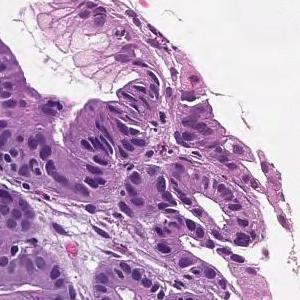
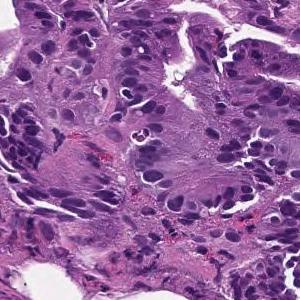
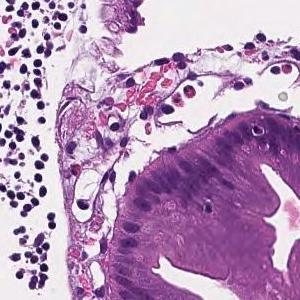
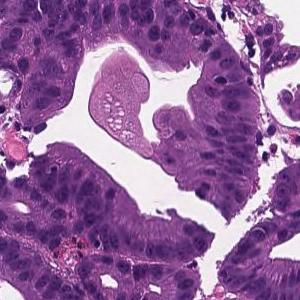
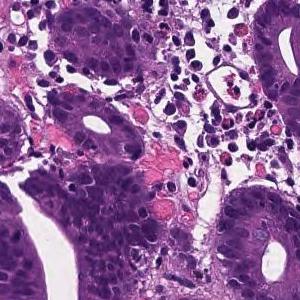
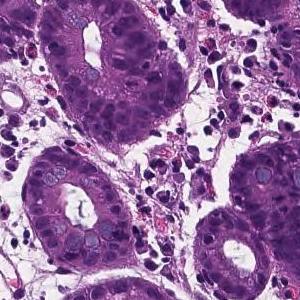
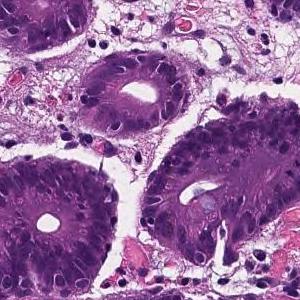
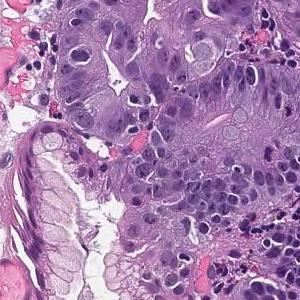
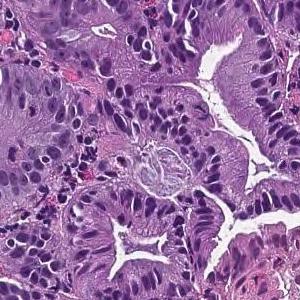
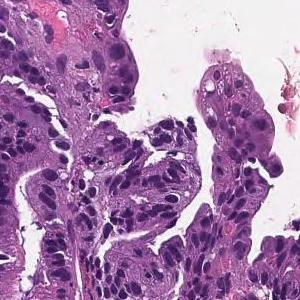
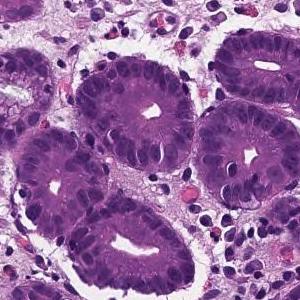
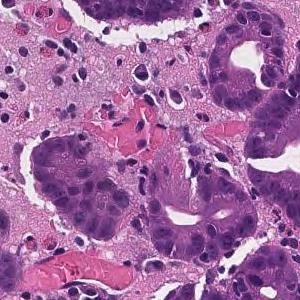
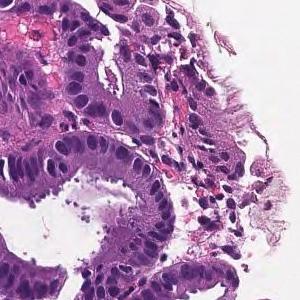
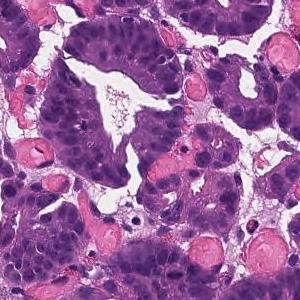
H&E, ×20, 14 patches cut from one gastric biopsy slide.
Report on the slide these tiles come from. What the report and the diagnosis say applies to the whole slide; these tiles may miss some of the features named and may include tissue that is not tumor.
From the superficial epithelium to the muscularis mucosae, tumor tissue consisting of medium-sized and irregular glandular ducts infiltrating is observed. Well differentiated tubular adenocarcinoma
